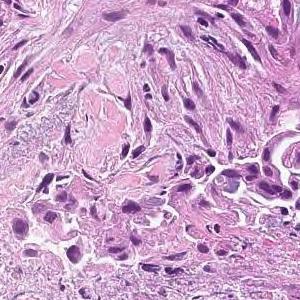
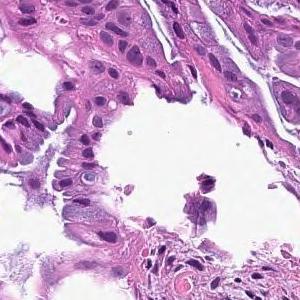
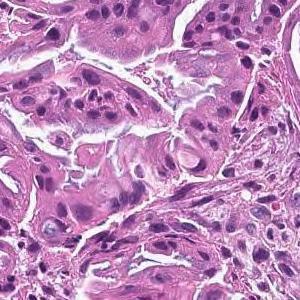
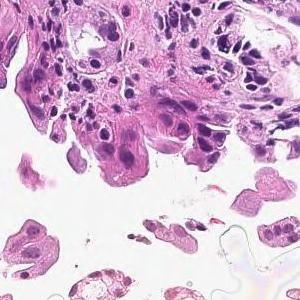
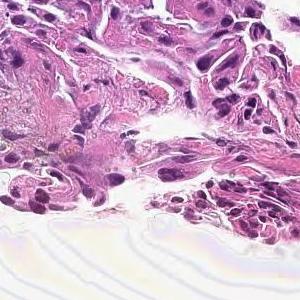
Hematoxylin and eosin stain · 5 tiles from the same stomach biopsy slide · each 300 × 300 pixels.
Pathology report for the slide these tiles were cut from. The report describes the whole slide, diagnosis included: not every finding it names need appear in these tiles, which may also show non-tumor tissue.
From the superficial epithelium to the muscularis mucosae, tumor tissue consisting of medium-sized and irregular glandular ducts infiltrating is observed. Well differentiated tubular adenocarcinoma
